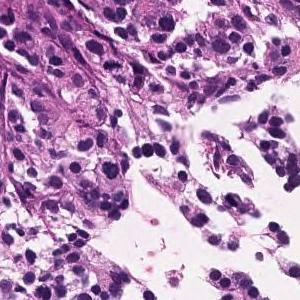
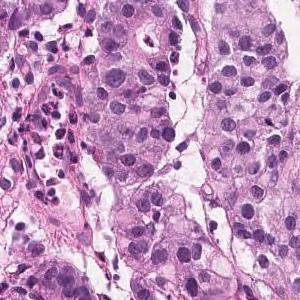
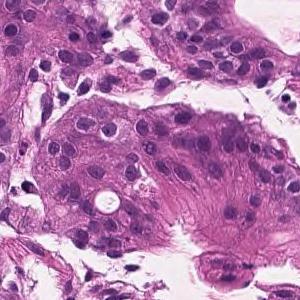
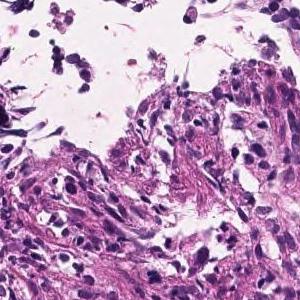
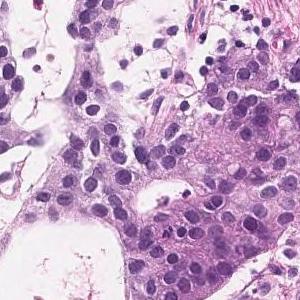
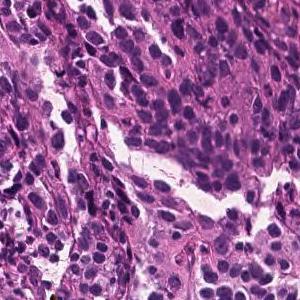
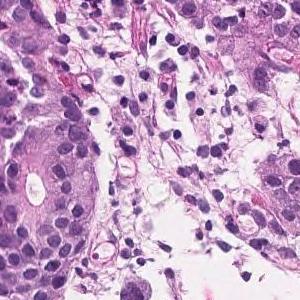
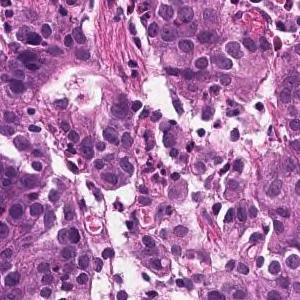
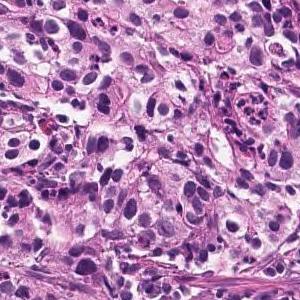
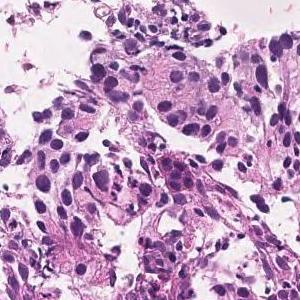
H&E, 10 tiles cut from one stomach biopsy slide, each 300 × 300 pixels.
Diagnostic report for the slide these tiles come from. The findings and the diagnosis refer to the entire slide; these tiles show only part of it, possibly with non-tumor tissue, and may not show every feature named.
Medium to small, irregular glandular ducts are formed in the superficial epithelium, and in some cases, the glandular ducts are fused to show solid alveolar lesions and infiltrating tumor tissue is observed. Moderately to poorly differentiated adenocarcinoma.
